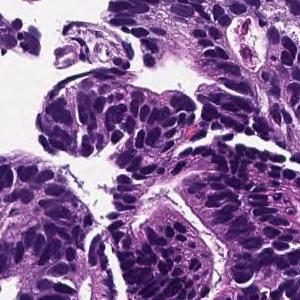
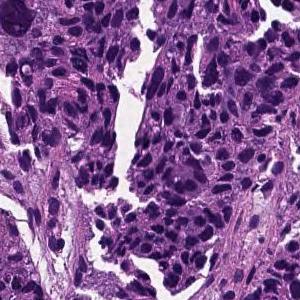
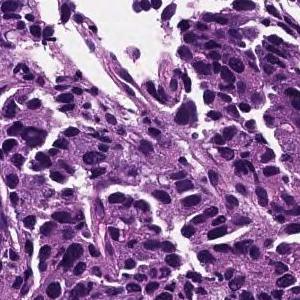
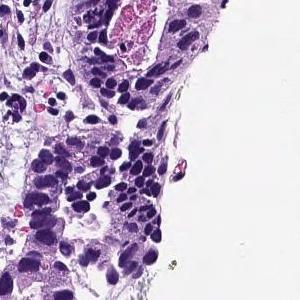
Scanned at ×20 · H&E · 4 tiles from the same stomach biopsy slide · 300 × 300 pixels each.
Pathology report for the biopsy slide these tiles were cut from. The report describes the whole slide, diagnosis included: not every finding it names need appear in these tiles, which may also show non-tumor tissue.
From the superficial epithelium to the muscularis mucosae, tumor tissue consisting of medium-sized and irregular glandular ducts infiltrating is observed. Well differentiated tubular adenocarcinoma
